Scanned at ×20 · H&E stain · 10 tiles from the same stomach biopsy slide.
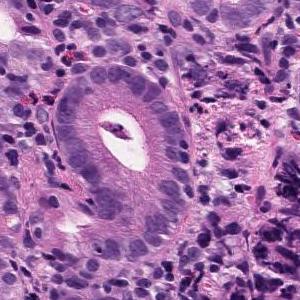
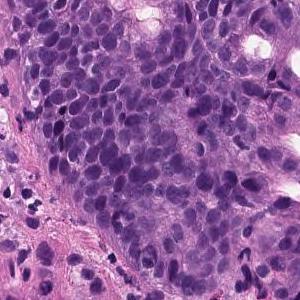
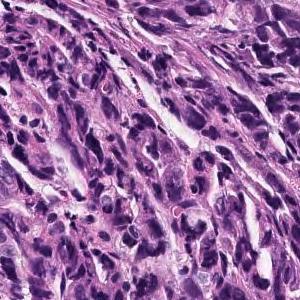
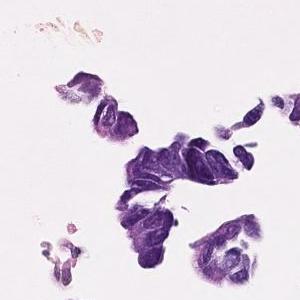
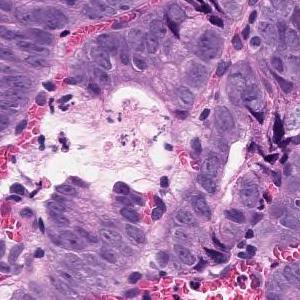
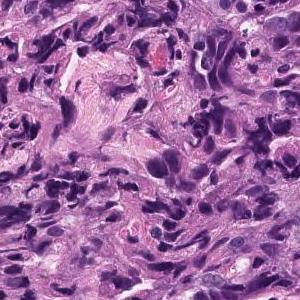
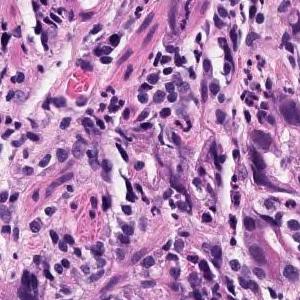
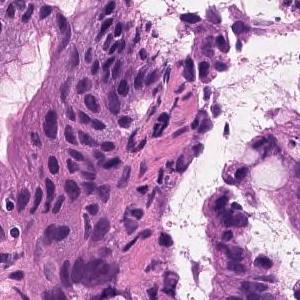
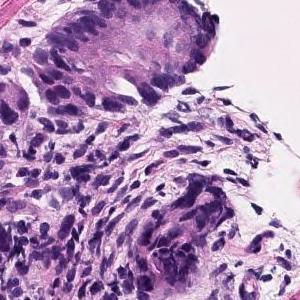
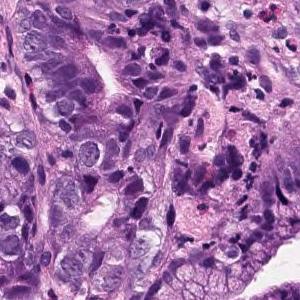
Report on the slide these tiles come from. The findings and the diagnosis refer to the entire slide; these tiles show only part of it, possibly with non-tumor tissue, and may not show every feature named.
The swollen atypical epithelium of the nucleus forms an irregular ductal structure and proliferates. moderately differentiated tubular adenocarcinoma
